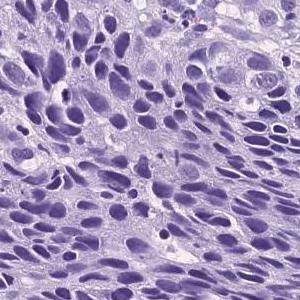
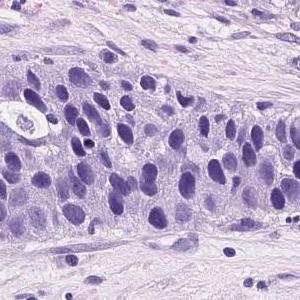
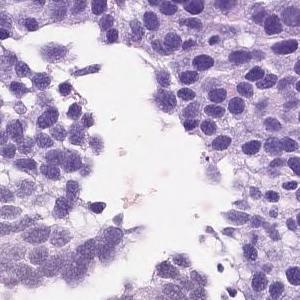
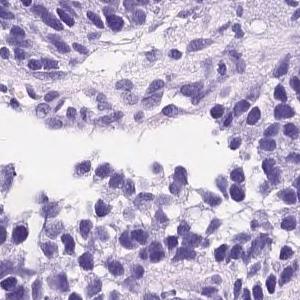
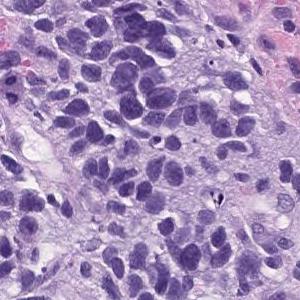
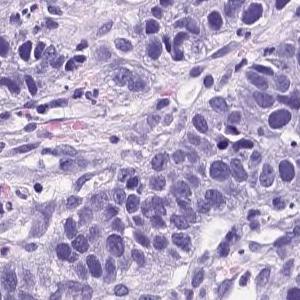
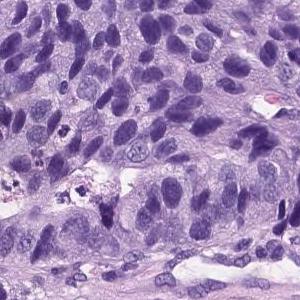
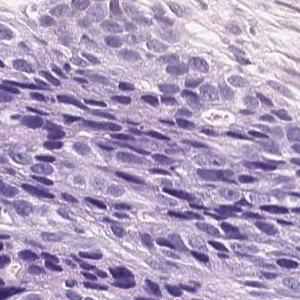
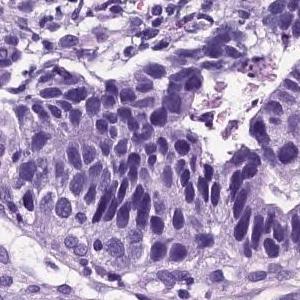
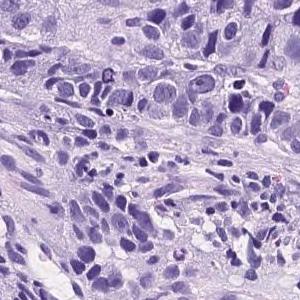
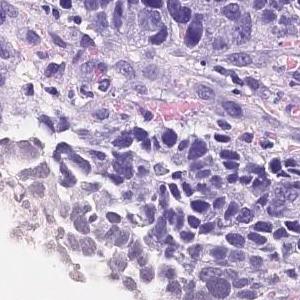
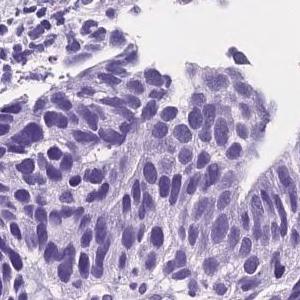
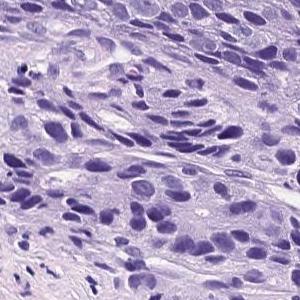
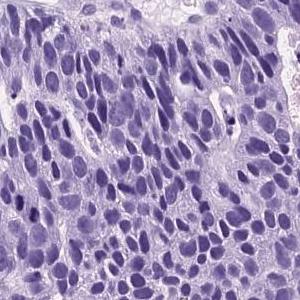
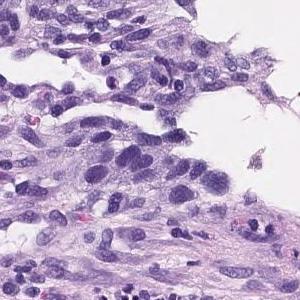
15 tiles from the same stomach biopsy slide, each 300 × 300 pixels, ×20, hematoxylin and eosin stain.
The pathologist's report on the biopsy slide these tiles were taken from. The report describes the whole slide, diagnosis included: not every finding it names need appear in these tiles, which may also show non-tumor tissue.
Atypical cells with atypical nuclei forming small irregular atypical ducts and growing in a conformative manner. moderately differentiated tubular adenocarcinoma
The dataset labels this slide moderately to poorly differentiated adenocarcinoma.
